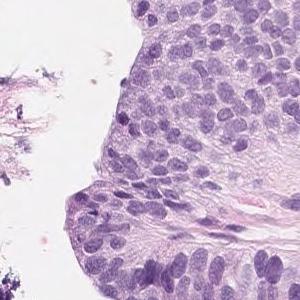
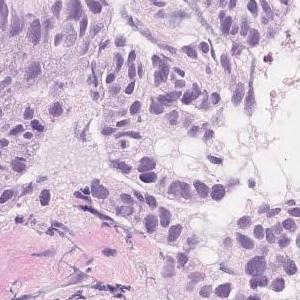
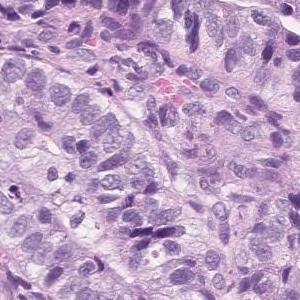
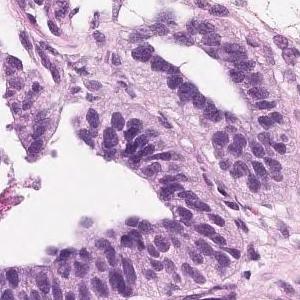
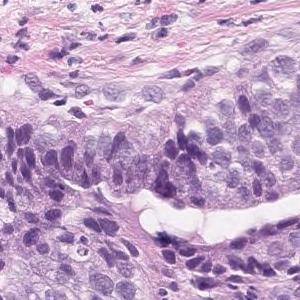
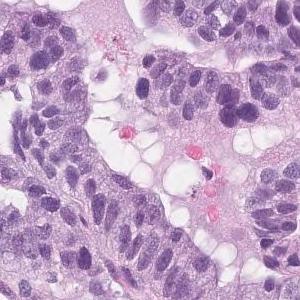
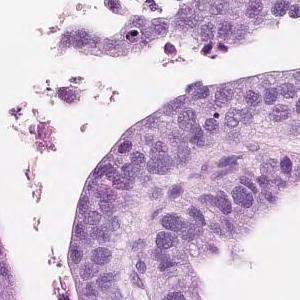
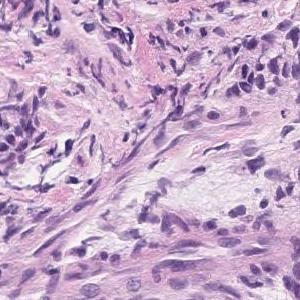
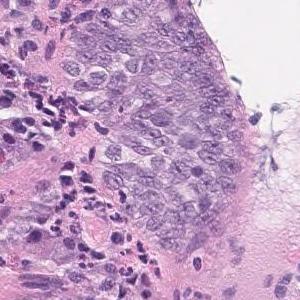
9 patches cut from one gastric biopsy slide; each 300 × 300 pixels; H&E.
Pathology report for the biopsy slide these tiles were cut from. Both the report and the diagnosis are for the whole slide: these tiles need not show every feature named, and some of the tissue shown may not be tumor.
Tumor tissue in which highly columnar atypical epithelial cells with nuclear enlargement and increased nuclear chromatin show papillary to papillary ductal structure and proliferate is observed. Papillary adenocarcinoma.
